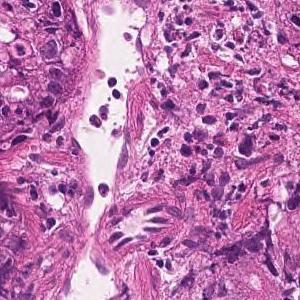
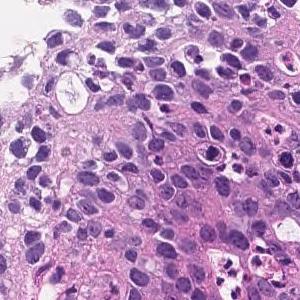
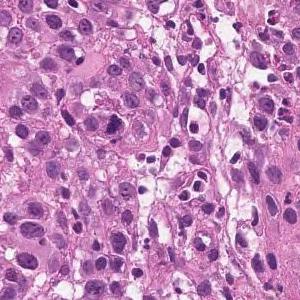
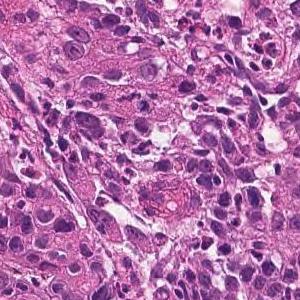
H&E; 20× magnification; 4 tiles from the same stomach biopsy slide; each 300 × 300 pixels.
The pathologist's report on the biopsy slide these tiles were taken from. Both the report and the diagnosis are for the whole slide: these tiles need not show every feature named, and some of the tissue shown may not be tumor.
The superficial epithelium shows a large sheet-like shape, and some tumor tissue infiltrates with small irregular ducts. Poorly differentiated adenocarcinoma, solid-type
Subtype: Poorly differentiated adenocarcinoma, solid type, a category of the Japanese Classification of Gastric Carcinoma; in the WHO 2019 classification it is tubular adenocarcinoma, poorly differentiated.
